H&E; 15 tiles from the same stomach biopsy slide; each 300 × 300 pixels.
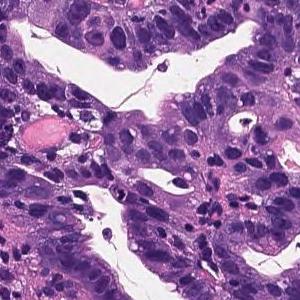
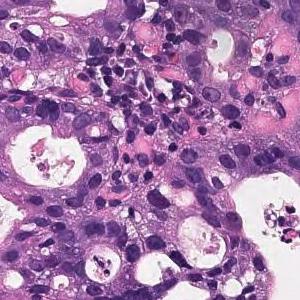
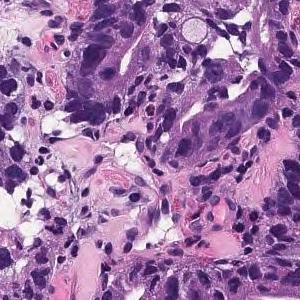
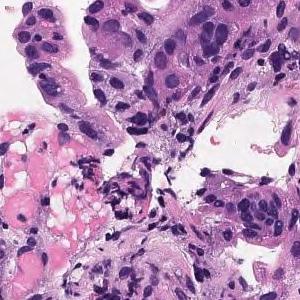
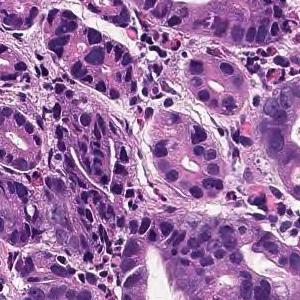
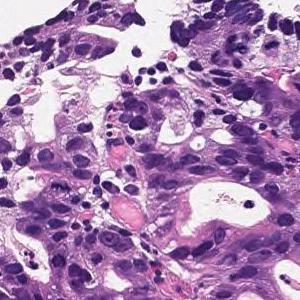
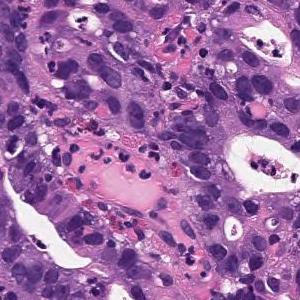
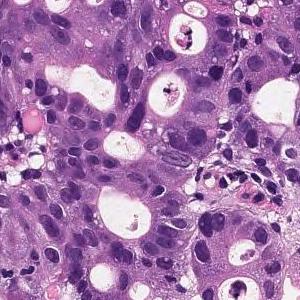
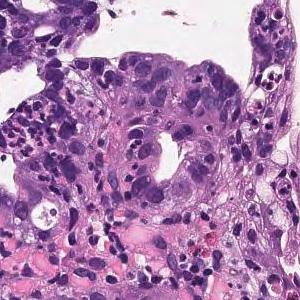
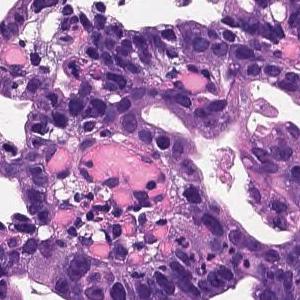
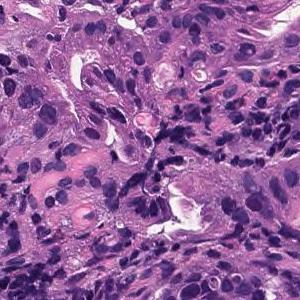
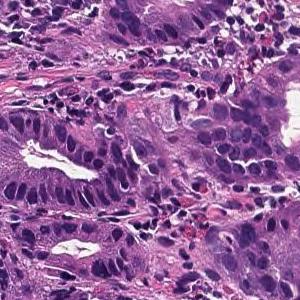
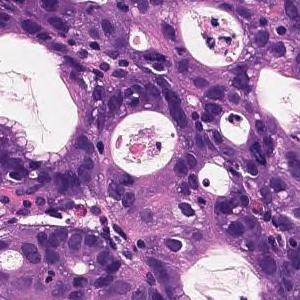
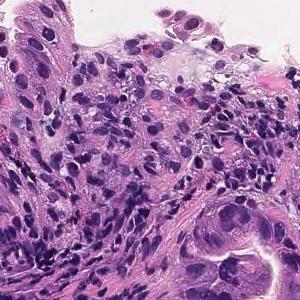
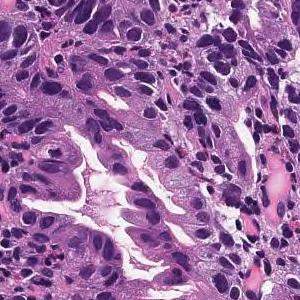
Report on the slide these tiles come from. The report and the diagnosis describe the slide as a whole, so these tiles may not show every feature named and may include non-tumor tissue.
On the superficial epithelium, tumor tissue consisting of large, irregular glandular ducts partially fused and infiltrated is observed. Well to moderately differentiated tubular adenocarcinoma (well differentiated tubular adenocarcinoma, moderately differentiated tubular adenocarcinoma)
Histological subtype: Well to moderately differentiated tubular adenocarcinoma.
